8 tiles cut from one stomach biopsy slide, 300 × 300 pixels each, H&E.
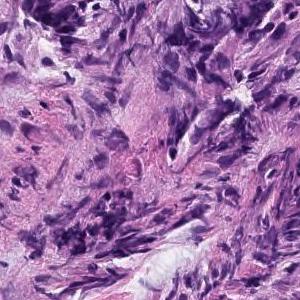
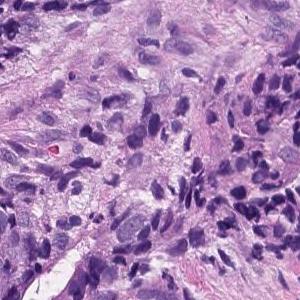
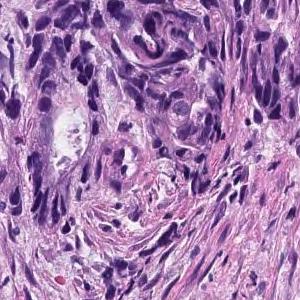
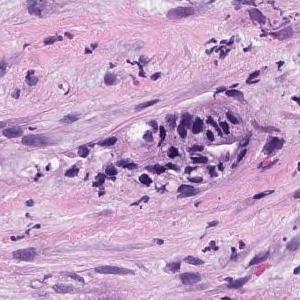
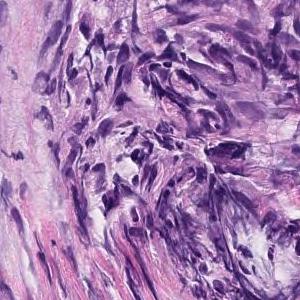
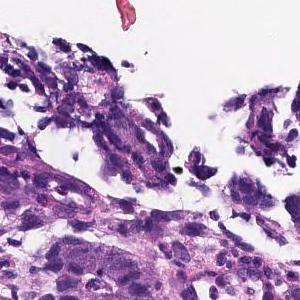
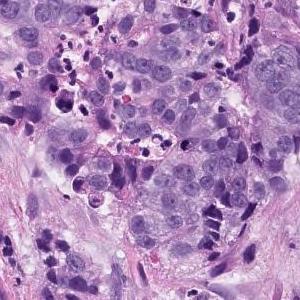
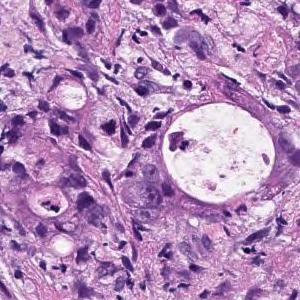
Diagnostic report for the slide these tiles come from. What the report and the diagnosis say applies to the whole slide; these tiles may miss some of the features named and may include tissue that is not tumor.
Medium to small, irregular glandular ducts are formed in the superficial epithelium, and in some cases, the glandular ducts are fused to show solid alveolar lesions and infiltrating tumor tissue is observed. Moderately to poorly differentiated adenocarcinoma.
